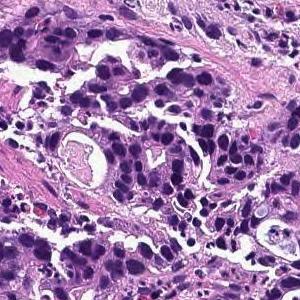
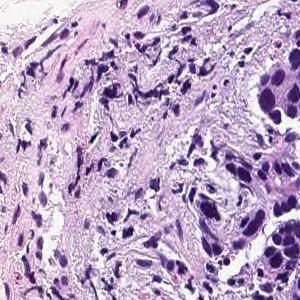
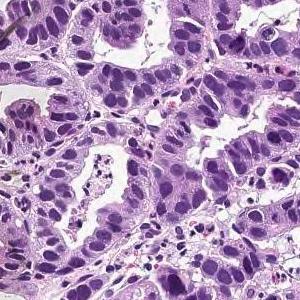
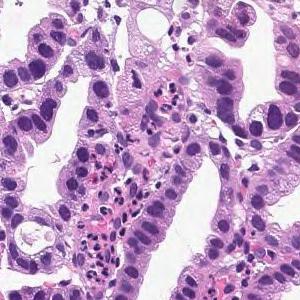
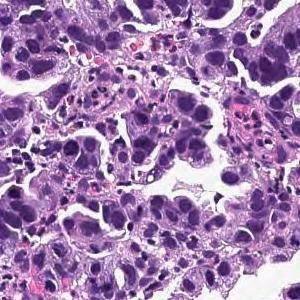
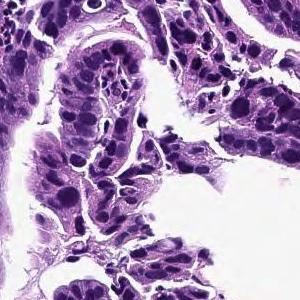
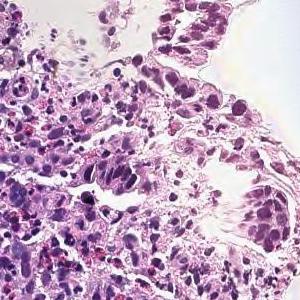
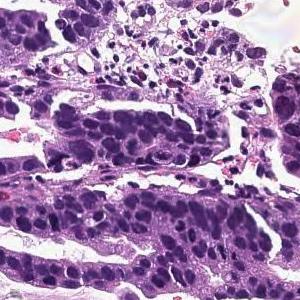
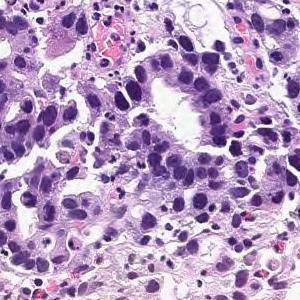
9 patches cut from one gastric biopsy slide; each 300 × 300 pixels; scanned at ×20; H&E stain.
Pathology report for the slide these tiles were cut from. What the report and the diagnosis say applies to the whole slide; these tiles may miss some of the features named and may include tissue that is not tumor.
On the superficial epithelium, tumor tissue consisting of large irregular glandular ducts partially fused and infiltrated is observed. Well to moderately differentiated tubular adenocarcinoma (well differentiated tubular adenocarcinoma, moderately differentiated tubular adenocarcinoma)
Classified as well to moderately differentiated tubular adenocarcinoma.
